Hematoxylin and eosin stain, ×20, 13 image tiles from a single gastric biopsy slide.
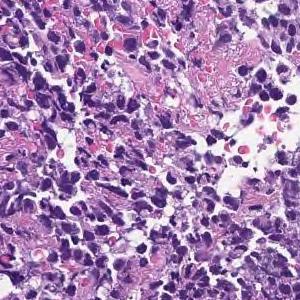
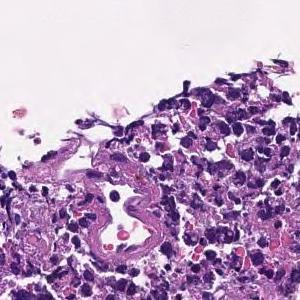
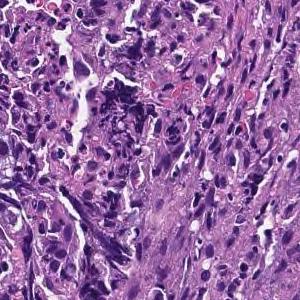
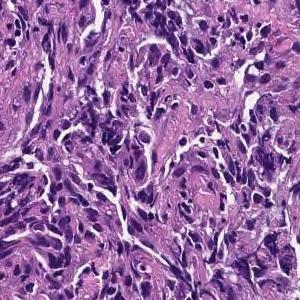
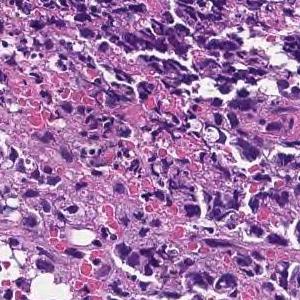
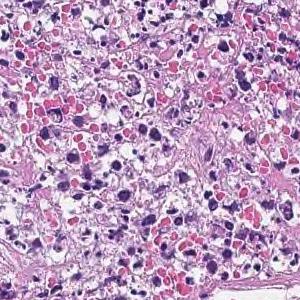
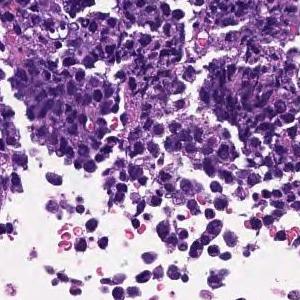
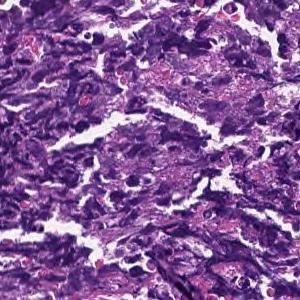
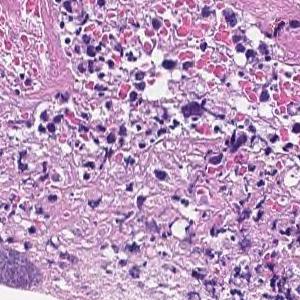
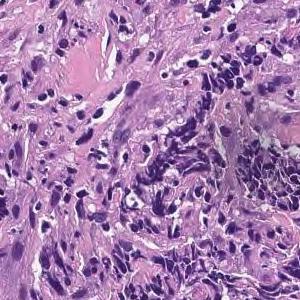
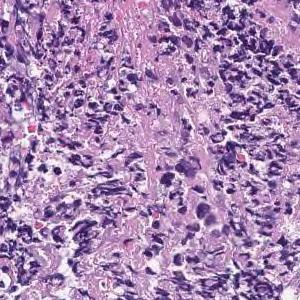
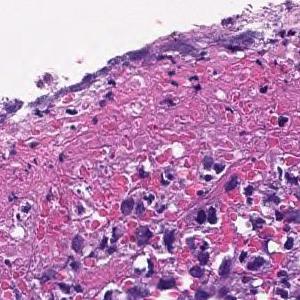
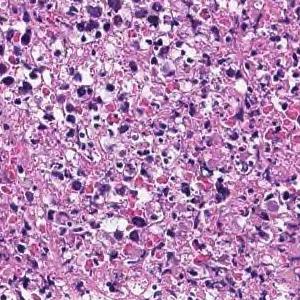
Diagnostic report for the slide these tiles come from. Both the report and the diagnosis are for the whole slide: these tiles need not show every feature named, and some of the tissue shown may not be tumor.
Most are composed of coagulative necrotic tissue, but some show a large sheet-like shape, and some show tumor tissue infiltrating with a small cord-like structure. Poorly differentiated adenocarcinoma, solid-type
Histologic type: Poorly differentiated adenocarcinoma, solid type (Japanese Classification of Gastric Carcinoma). The WHO 2019 equivalent is tubular adenocarcinoma, poorly differentiated.
